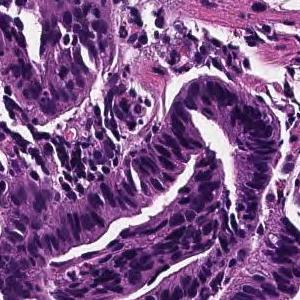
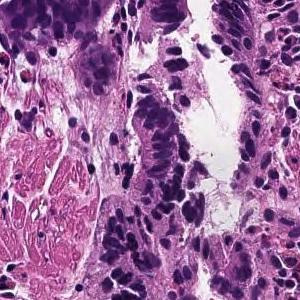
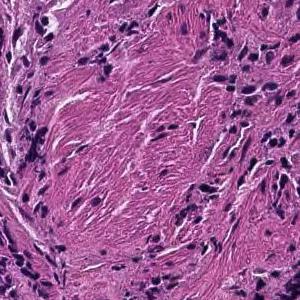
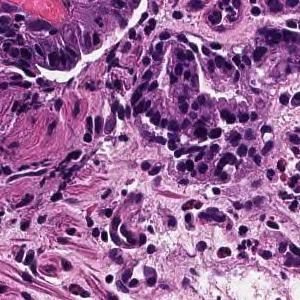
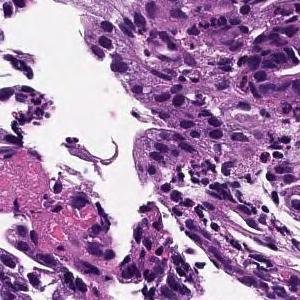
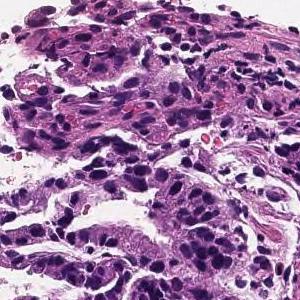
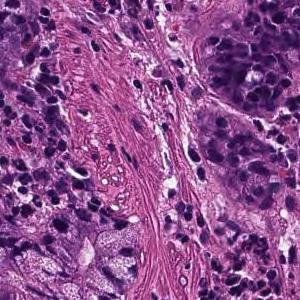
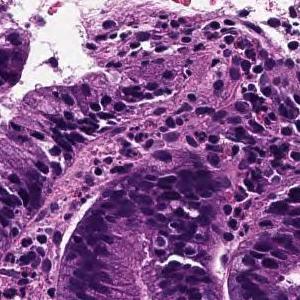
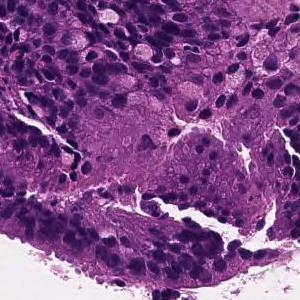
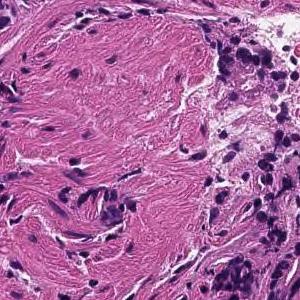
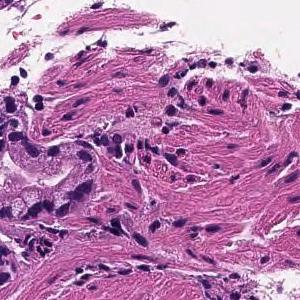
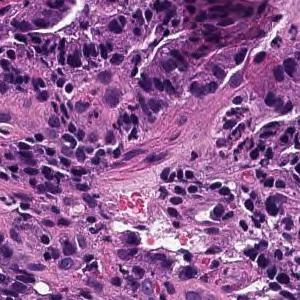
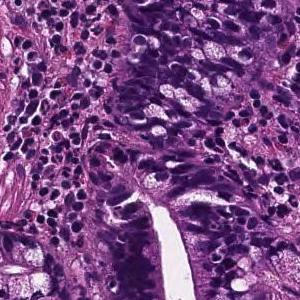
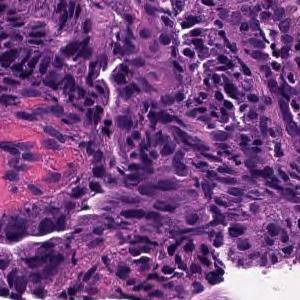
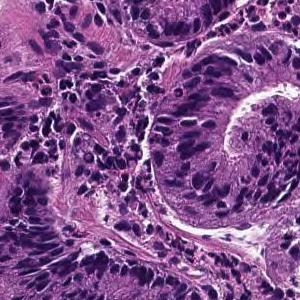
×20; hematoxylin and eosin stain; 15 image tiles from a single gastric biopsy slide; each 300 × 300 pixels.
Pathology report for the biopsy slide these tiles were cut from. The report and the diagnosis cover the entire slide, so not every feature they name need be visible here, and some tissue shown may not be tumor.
From the superficial epithelium to the muscularis mucosae, tumor tissue consisting of medium-sized and irregular glandular ducts infiltrating is observed. Well differentiated tubular adenocarcinoma
